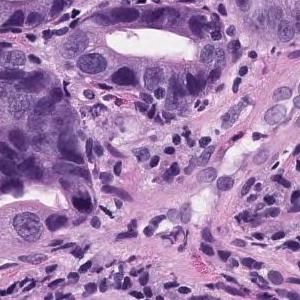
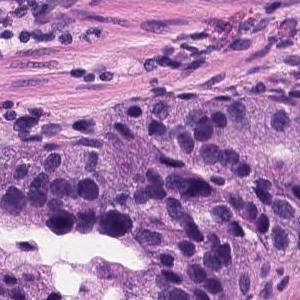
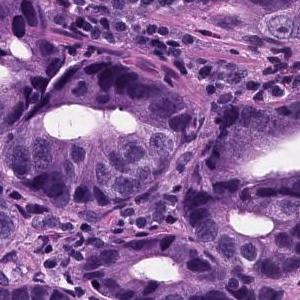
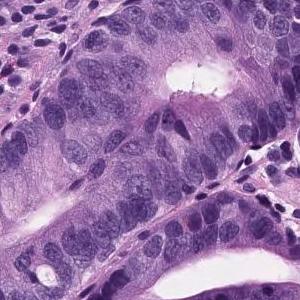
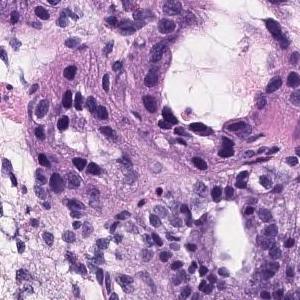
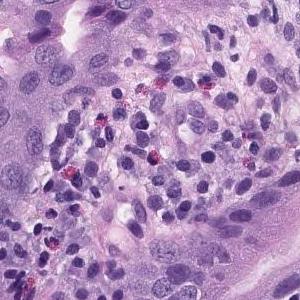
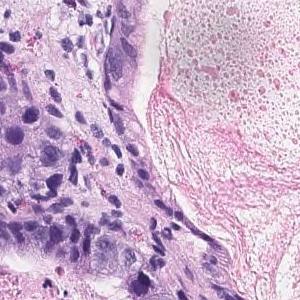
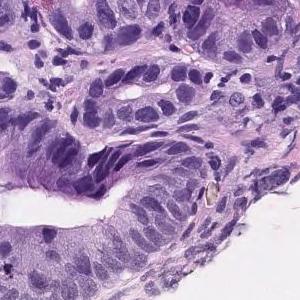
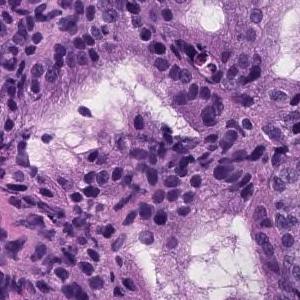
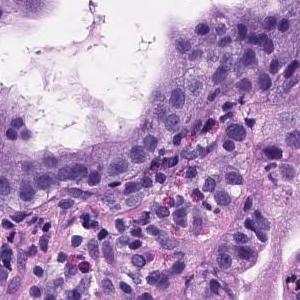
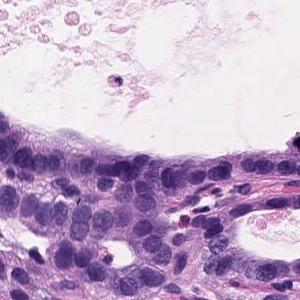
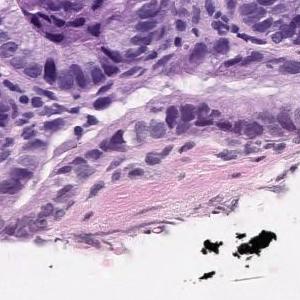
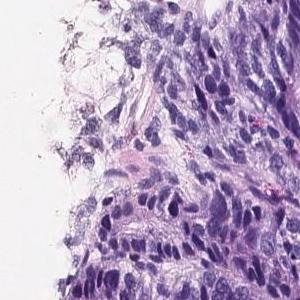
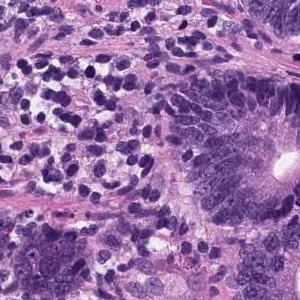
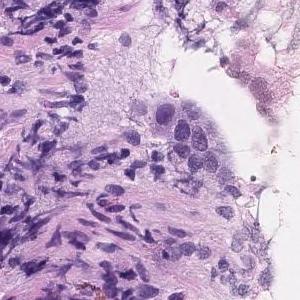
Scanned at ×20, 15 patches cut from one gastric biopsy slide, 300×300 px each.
Pathology report for the biopsy slide these tiles were cut from. The report describes the whole slide, diagnosis included: not every finding it names need appear in these tiles, which may also show non-tumor tissue.
Tumor tissue consisting of medium-sized and irregular ducts is observed infiltrating in the superficial epithelium. Tumor cells are highly columnar, with nuclei aligned basolaterally and polarized. Well differentiated tubular adenocarcinoma.
